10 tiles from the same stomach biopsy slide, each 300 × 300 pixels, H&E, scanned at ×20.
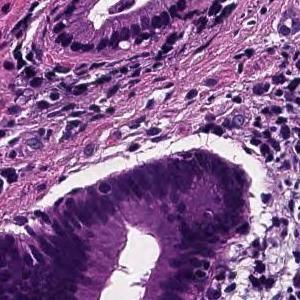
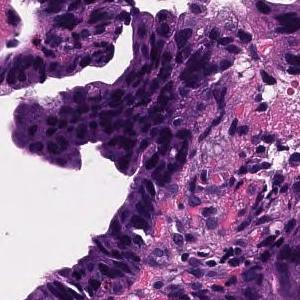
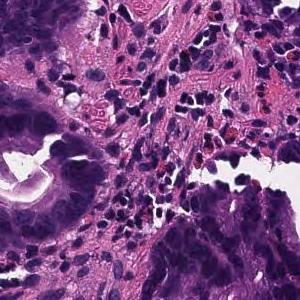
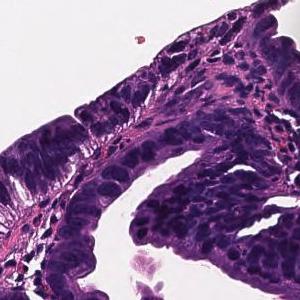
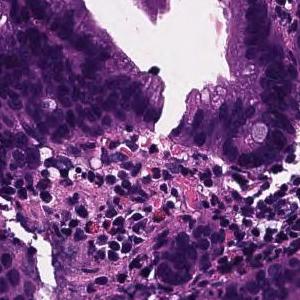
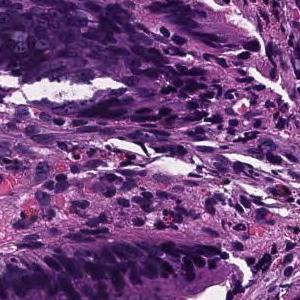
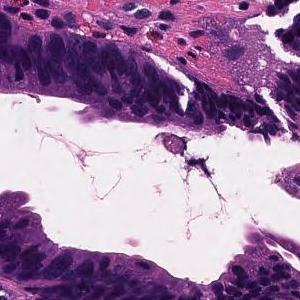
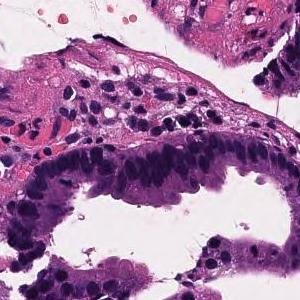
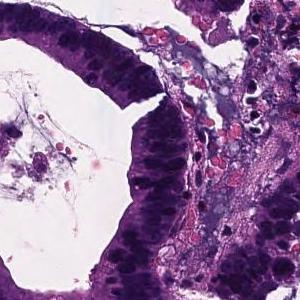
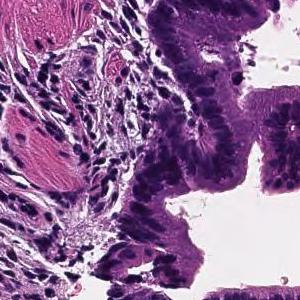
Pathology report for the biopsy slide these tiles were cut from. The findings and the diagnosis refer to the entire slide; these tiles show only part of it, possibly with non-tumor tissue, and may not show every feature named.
Tumor cells are large, highly columnar, large club-shaped nuclei, and are associated with chromatin aggregation. Papillary adenocarcinoma.
